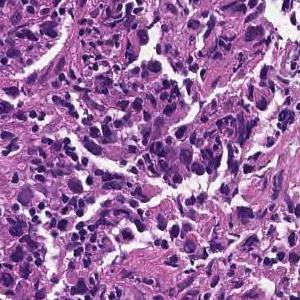
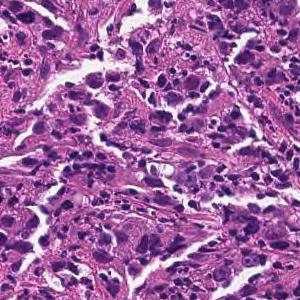
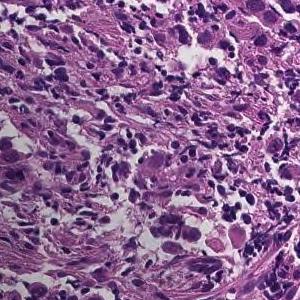
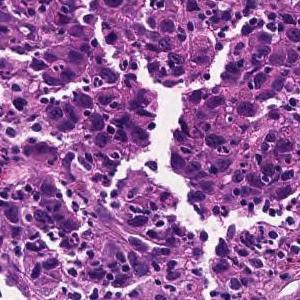
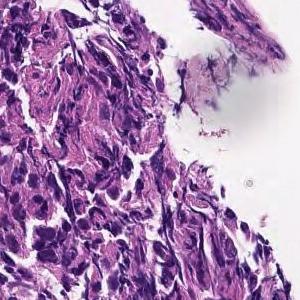
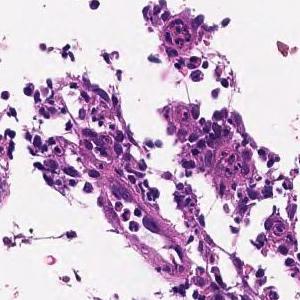
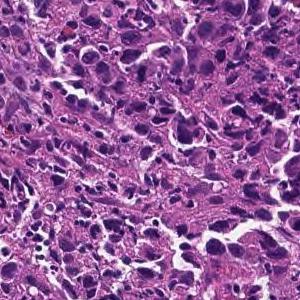
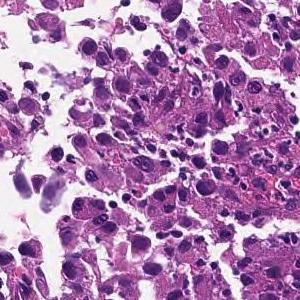
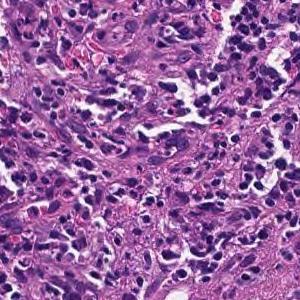
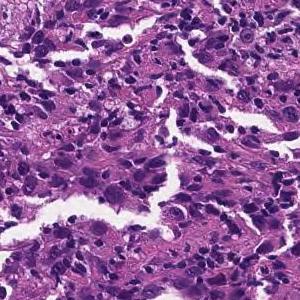
10 patches cut from one gastric biopsy slide, each 300 × 300 pixels, H&E, ×20.
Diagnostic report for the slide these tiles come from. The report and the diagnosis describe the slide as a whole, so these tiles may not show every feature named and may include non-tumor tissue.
The superficial epithelium shows a large sheet-like shape, and some tumor tissue infiltrates with small irregular ducts. Poorly differentiated adenocarcinoma, solid-type (poorly differentiated adenocarcinoma, solid type)
Subtype: Poorly differentiated adenocarcinoma, solid type. This name comes from the Japanese Classification of Gastric Carcinoma; the WHO 2019 classification calls it tubular adenocarcinoma, poorly differentiated.
